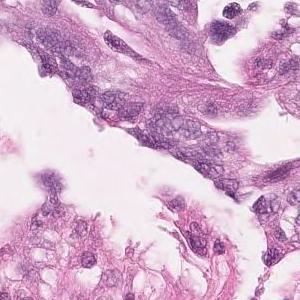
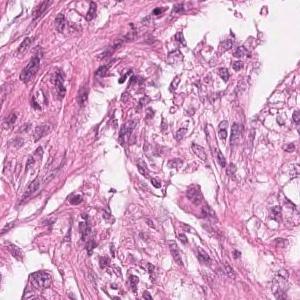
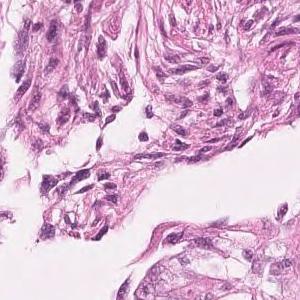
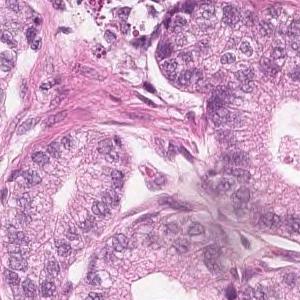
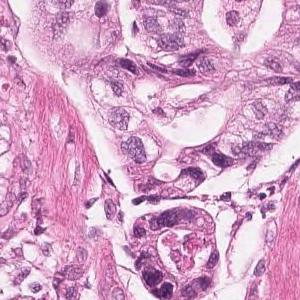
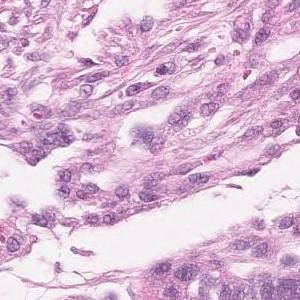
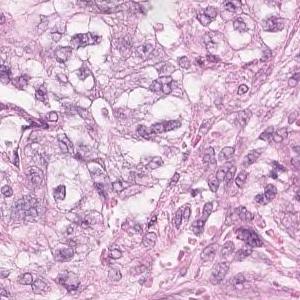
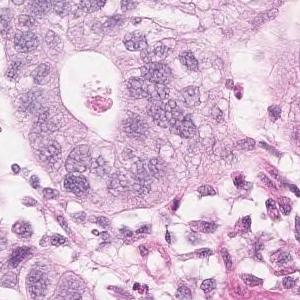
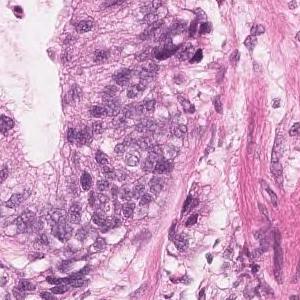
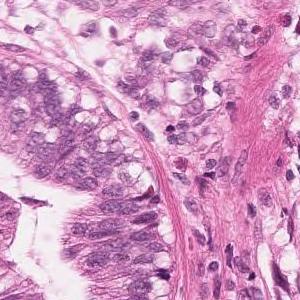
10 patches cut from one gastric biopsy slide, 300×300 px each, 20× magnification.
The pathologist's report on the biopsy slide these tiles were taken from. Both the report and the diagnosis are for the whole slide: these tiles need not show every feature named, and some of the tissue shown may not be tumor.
Highly columnar epithelium with disordered nuclear localization proliferates showing fusion ductal construction. moderately differentiated tubular adenocarcinoma
